20× magnification, H&E, 12 tiles from the same stomach biopsy slide, each 300 × 300 pixels.
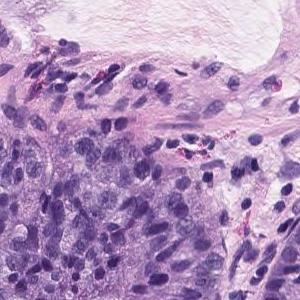
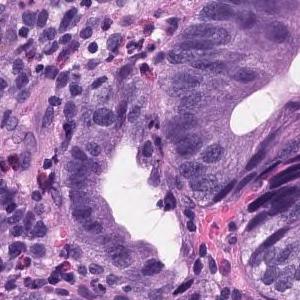
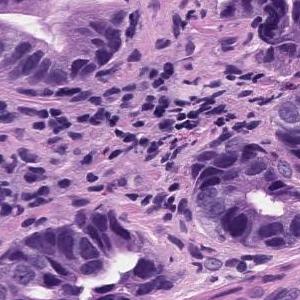
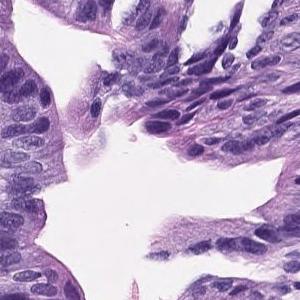
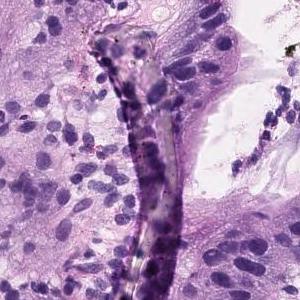
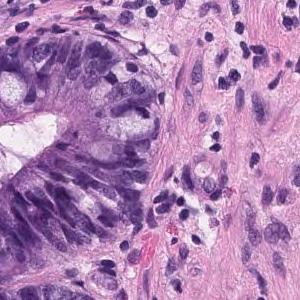
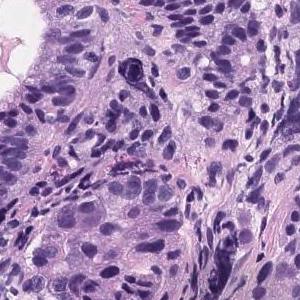
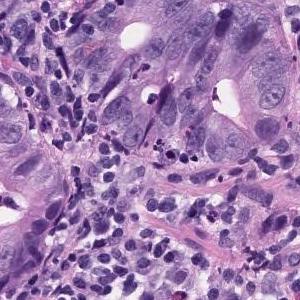
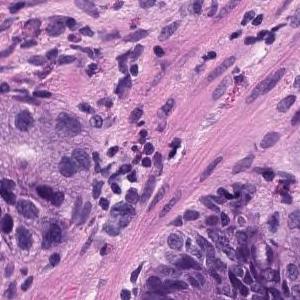
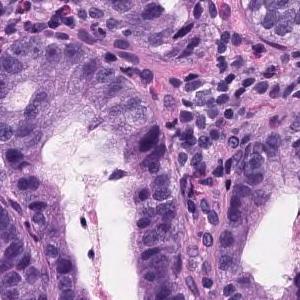
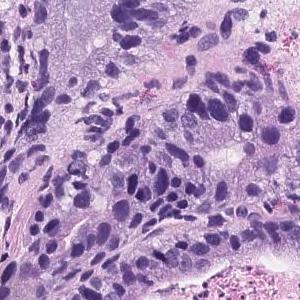
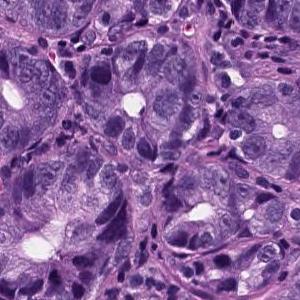
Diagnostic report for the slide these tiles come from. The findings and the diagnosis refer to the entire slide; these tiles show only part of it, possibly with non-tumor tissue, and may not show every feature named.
Tumor tissue consisting of medium-sized and irregular ducts is observed infiltrating in the superficial epithelium. Tumor cells are highly columnar, with nuclei aligned basolaterally and polarized. Well differentiated tubular adenocarcinoma.
